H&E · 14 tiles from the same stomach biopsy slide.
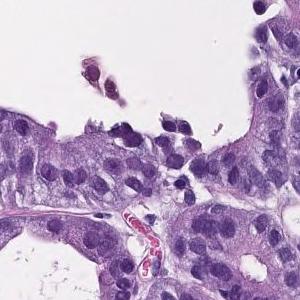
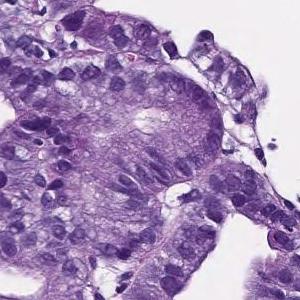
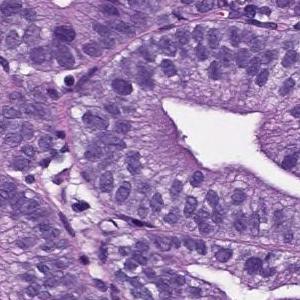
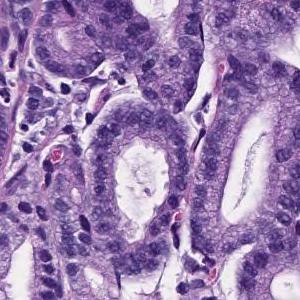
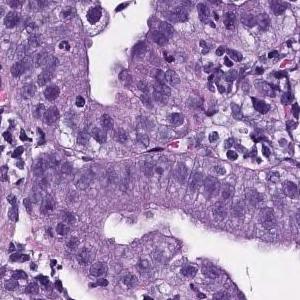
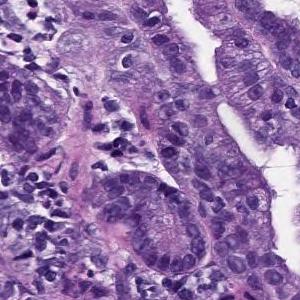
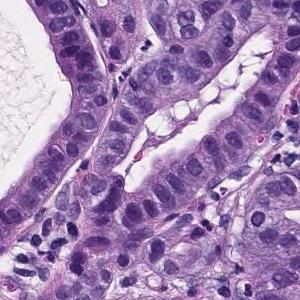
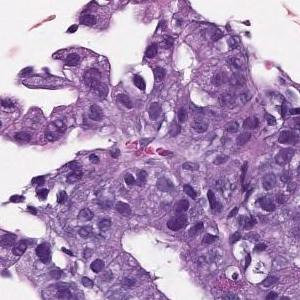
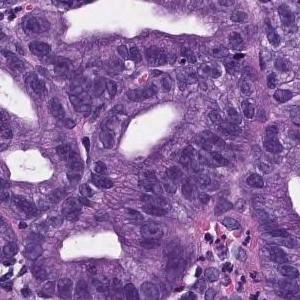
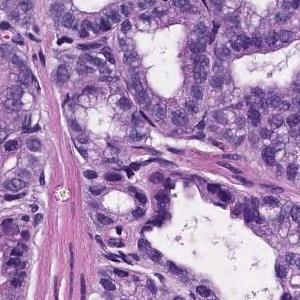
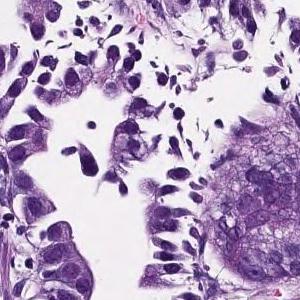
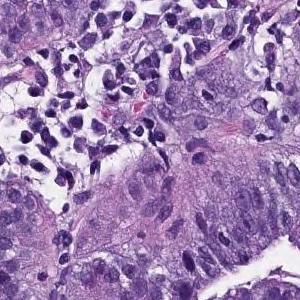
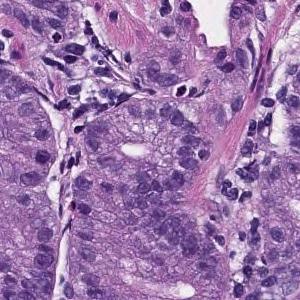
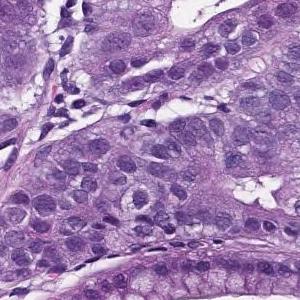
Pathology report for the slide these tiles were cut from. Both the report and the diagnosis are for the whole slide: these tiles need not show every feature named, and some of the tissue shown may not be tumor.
On the superficial epithelium, tumor tissue that infiltrates by forming medium-sized papillary or small irregular ducts is observed. Papillary adenocarcinoma
